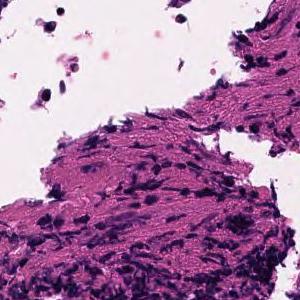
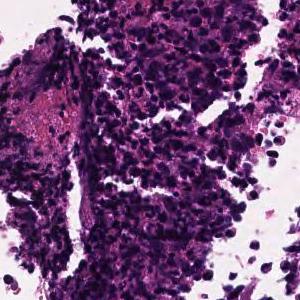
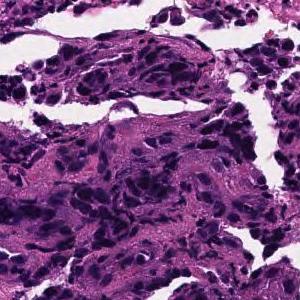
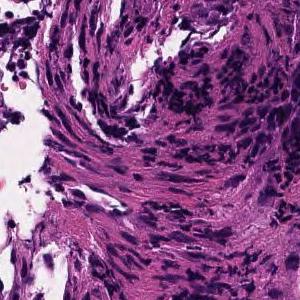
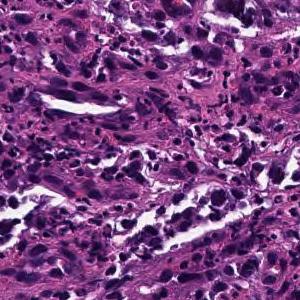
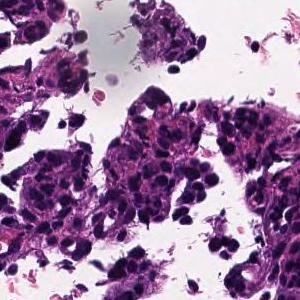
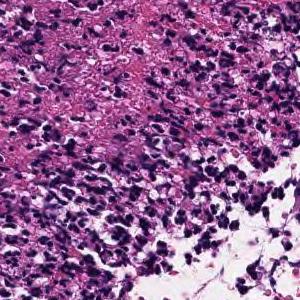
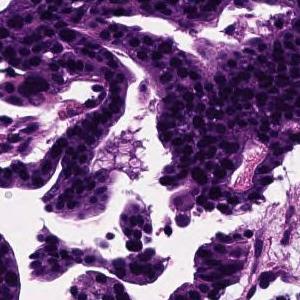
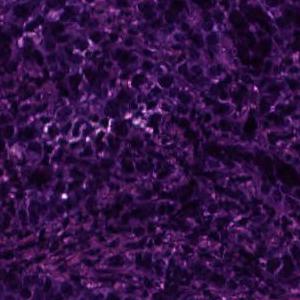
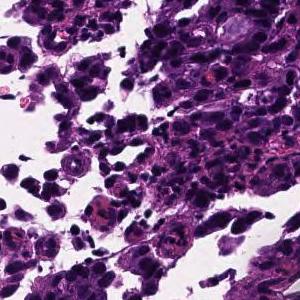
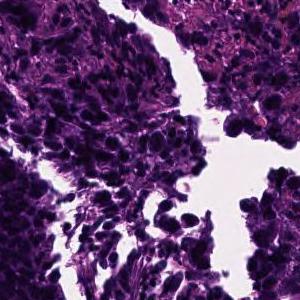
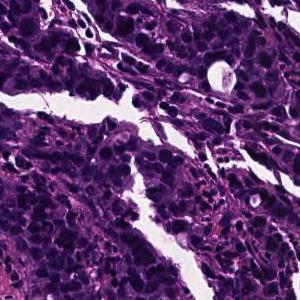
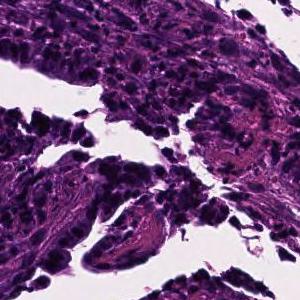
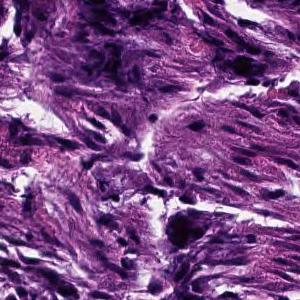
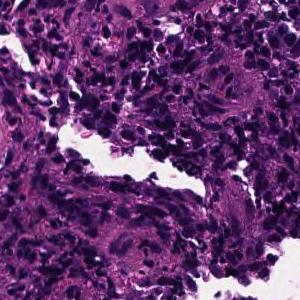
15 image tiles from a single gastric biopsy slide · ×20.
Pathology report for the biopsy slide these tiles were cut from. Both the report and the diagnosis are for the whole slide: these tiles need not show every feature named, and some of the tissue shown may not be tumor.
In the superficial epithelium, tumor tissue that invades by forming medium-sized to small, irregular ducts is observed. moderately differentiated tubular adenocarcinoma.
